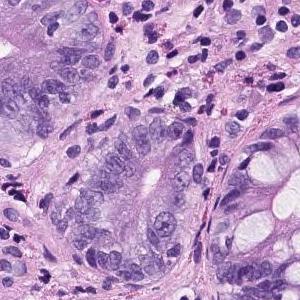
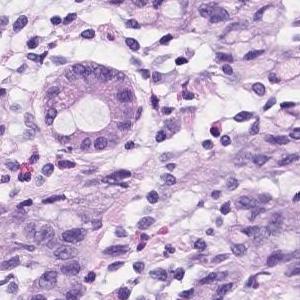
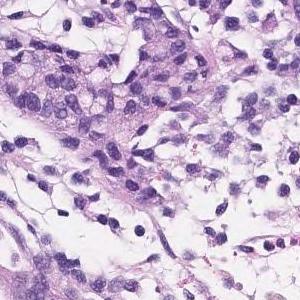
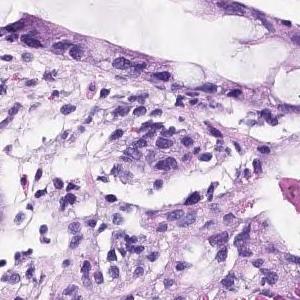
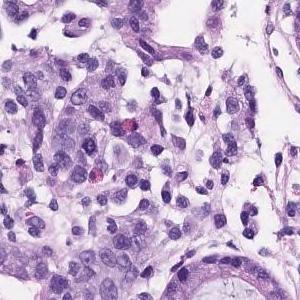
×20; H&E stain; 5 patches cut from one gastric biopsy slide; 300 × 300 pixels each.
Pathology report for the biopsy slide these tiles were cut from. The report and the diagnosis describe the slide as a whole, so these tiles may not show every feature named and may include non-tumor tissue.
Atypical l cells with atypical nuclei forming diffuse or small irregular atypical ducts and growing. Moderately to poorly differentiated adenocarcinoma (poorly differentiated adenocarcinoma, solid type moderately differentiated tubular adenocarcinoma)
Tumor subtype: moderately to poorly differentiated adenocarcinoma.
"Solid type" is a category of the Japanese Classification of Gastric Carcinoma; in the WHO 2019 classification it is tubular adenocarcinoma, poorly differentiated.
